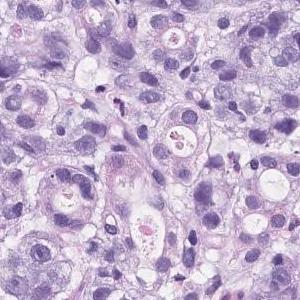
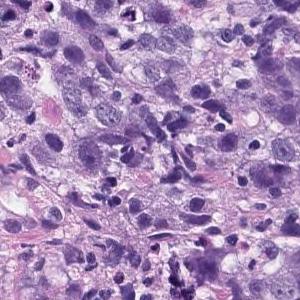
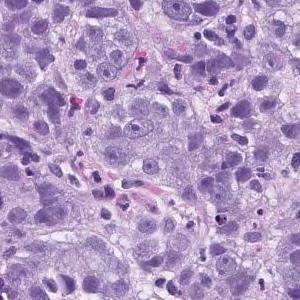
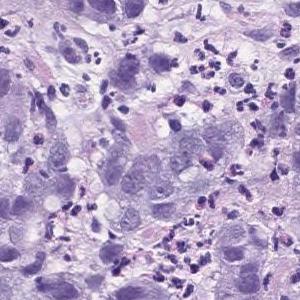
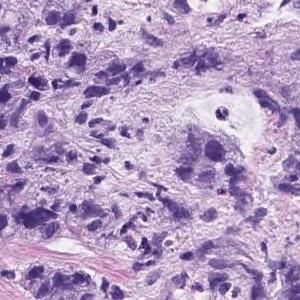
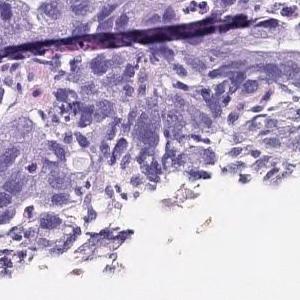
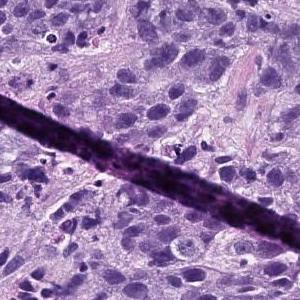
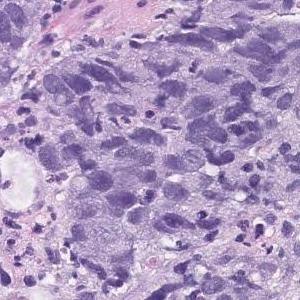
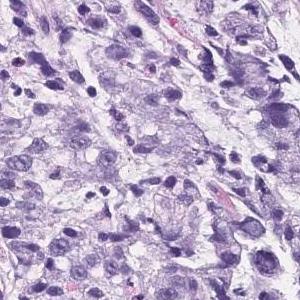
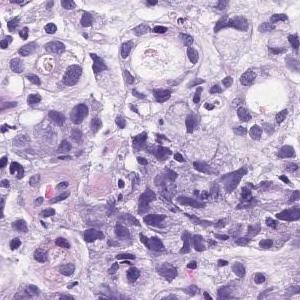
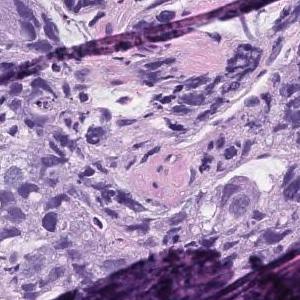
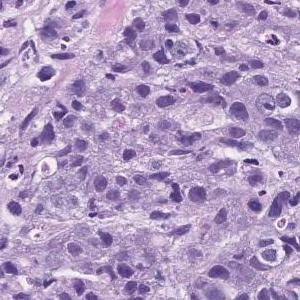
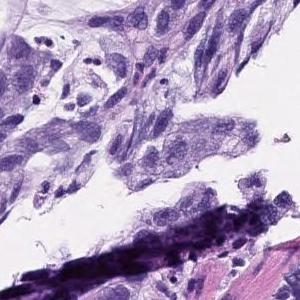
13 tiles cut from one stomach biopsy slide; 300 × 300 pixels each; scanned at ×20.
Diagnostic report for the slide these tiles come from. The report and the diagnosis cover the entire slide, so not every feature they name need be visible here, and some tissue shown may not be tumor.
Atypical l cells with atypical nuclei forming solid vesicles or small irregular atypical ducts that proliferate in a complex manner. poorly differentiated adenocarcinoma, solid type, moderately differentiated tubular adenocarcinoma
The term "solid type" comes from the Japanese Classification of Gastric Carcinoma; the WHO 2019 equivalent is tubular adenocarcinoma, poorly differentiated.
